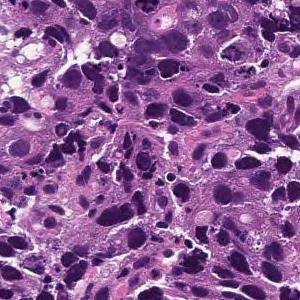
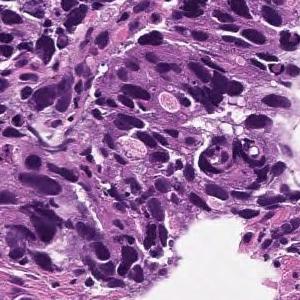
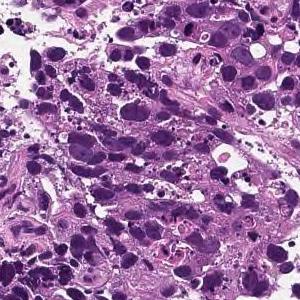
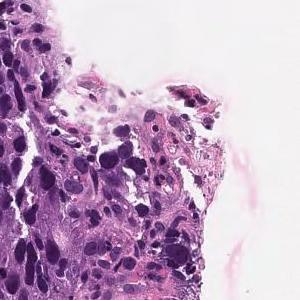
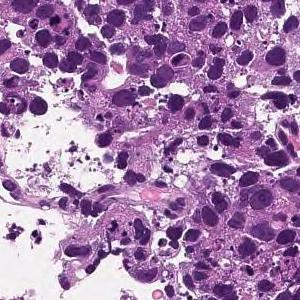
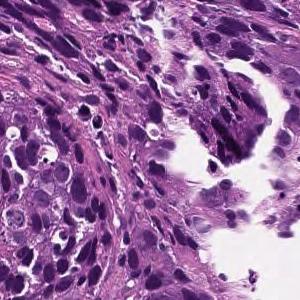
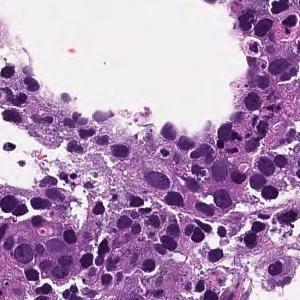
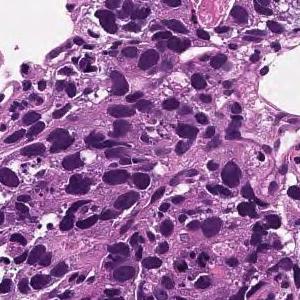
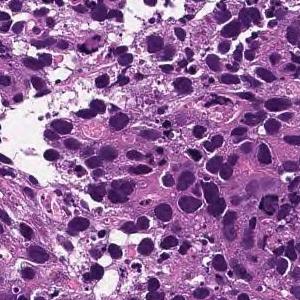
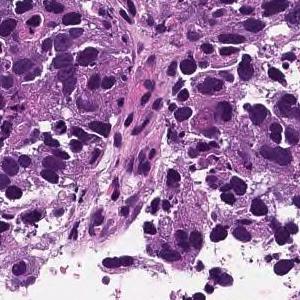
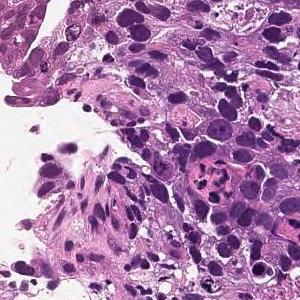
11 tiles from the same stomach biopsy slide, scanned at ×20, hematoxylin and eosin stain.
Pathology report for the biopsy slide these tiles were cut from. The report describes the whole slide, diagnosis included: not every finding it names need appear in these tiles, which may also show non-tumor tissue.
Tumor cells are medium-sized polygonal with no extracellular mucus production or duct formation. Poorly differentiated adenocarcinoma, solid-type
Histologic type: Poorly differentiated adenocarcinoma, solid type, a category of the Japanese Classification of Gastric Carcinoma; in the WHO 2019 classification it is tubular adenocarcinoma, poorly differentiated.
